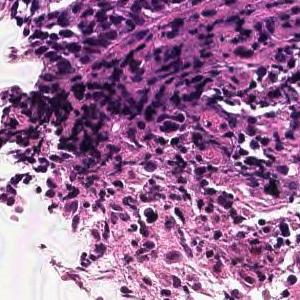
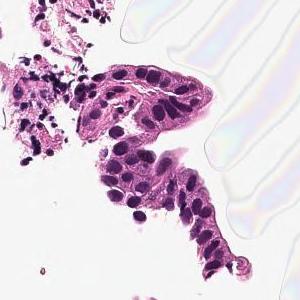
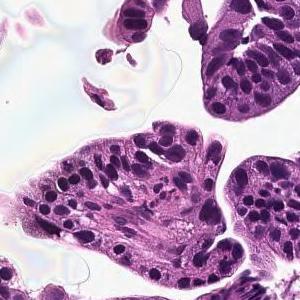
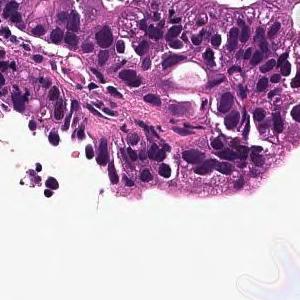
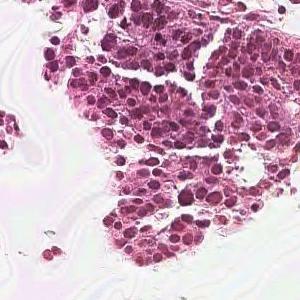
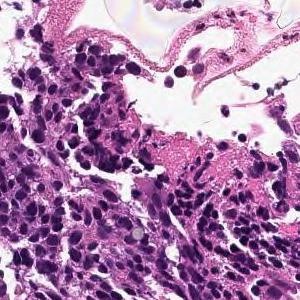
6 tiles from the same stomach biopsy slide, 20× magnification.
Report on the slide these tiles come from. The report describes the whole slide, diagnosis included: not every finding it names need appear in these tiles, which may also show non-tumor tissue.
On the superficial epithelium, tumor tissue that infiltrates by forming medium-sized papillary or small irregular ducts is observed. Papillary adenocarcinoma
